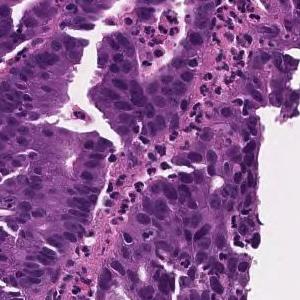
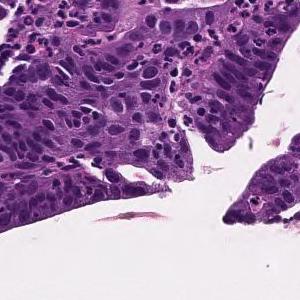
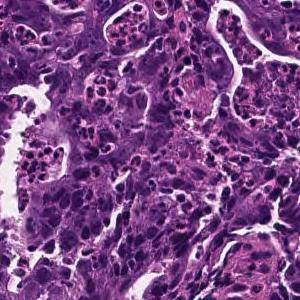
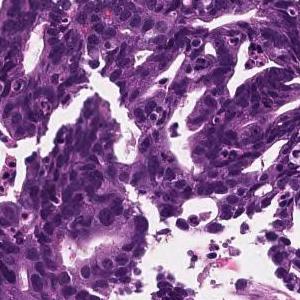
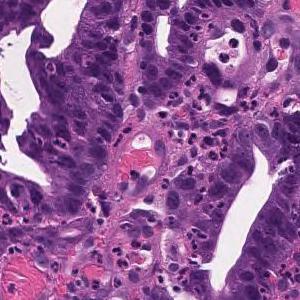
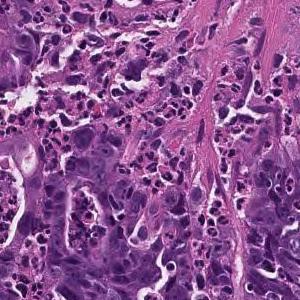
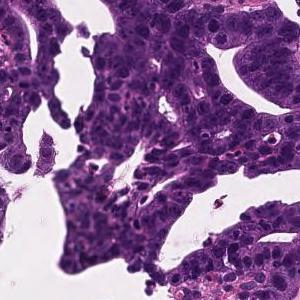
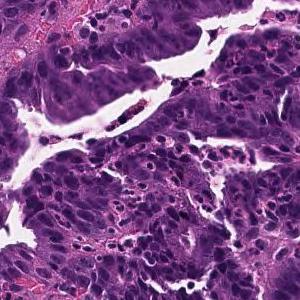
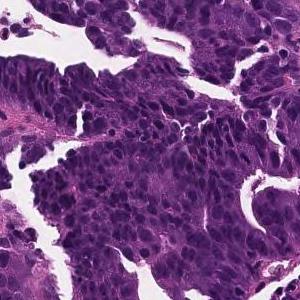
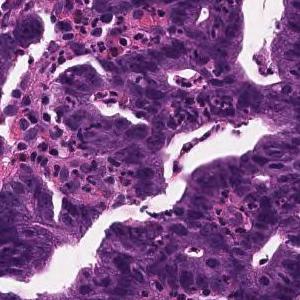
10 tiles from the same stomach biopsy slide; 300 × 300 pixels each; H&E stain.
Pathology report for the slide these tiles were cut from. The report and the diagnosis describe the slide as a whole, so these tiles may not show every feature named and may include non-tumor tissue.
Tumor cells are large, highly columnar, large club-shaped nuclei, and are associated with chromatin aggregation. Papillary adenocarcinoma.
